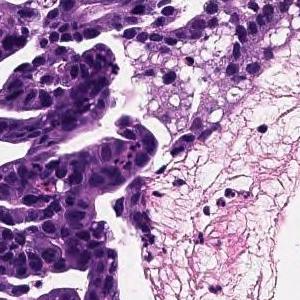
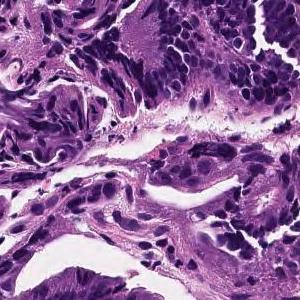
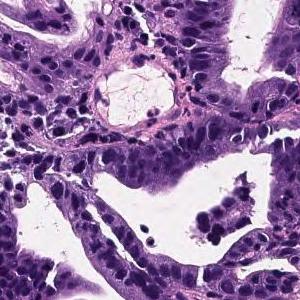
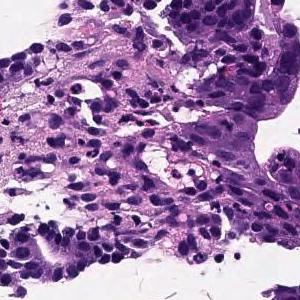
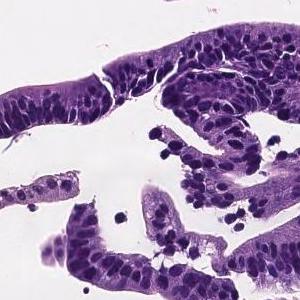
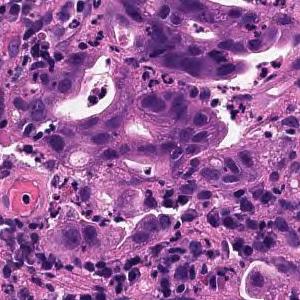
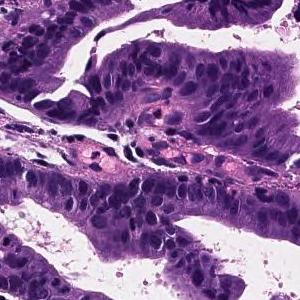
×20; H&E; 7 patches cut from one gastric biopsy slide.
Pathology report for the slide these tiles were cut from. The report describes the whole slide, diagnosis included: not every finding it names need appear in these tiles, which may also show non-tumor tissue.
Tumor cells are large, highly columnar, large club-shaped nuclei, and are associated with chromatin aggregation. Papillary adenocarcinoma.
